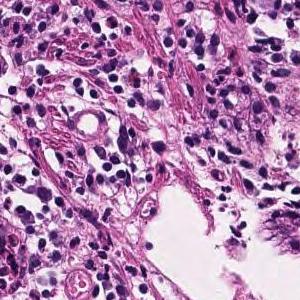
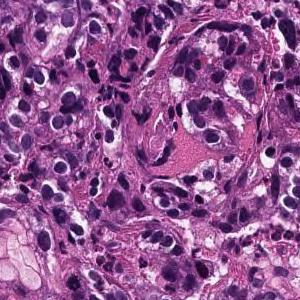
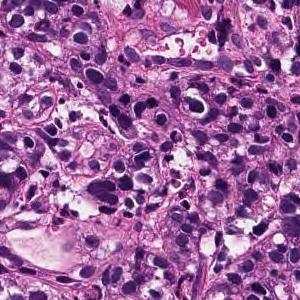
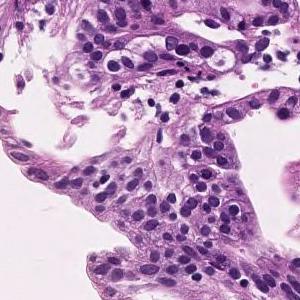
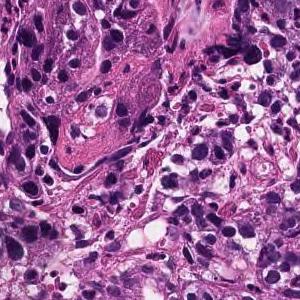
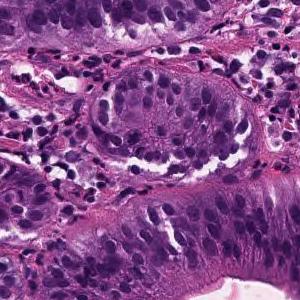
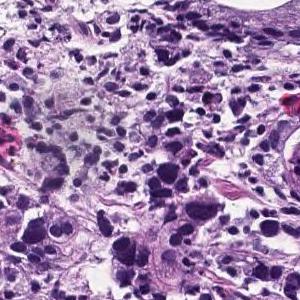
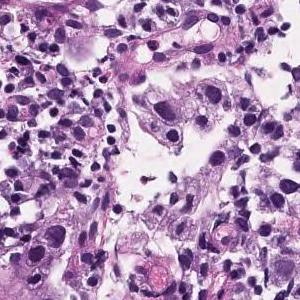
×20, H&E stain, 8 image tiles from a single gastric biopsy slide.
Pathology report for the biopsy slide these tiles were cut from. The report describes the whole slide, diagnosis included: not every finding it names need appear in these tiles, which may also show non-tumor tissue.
In the superficial epithelium, tumor tissue that invades by forming medium-sized to small, irregular ducts is observed. moderately differentiated tubular adenocarcinoma.
